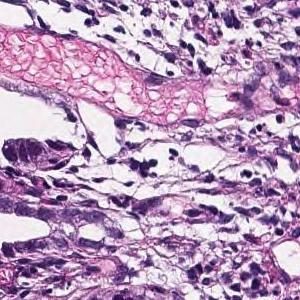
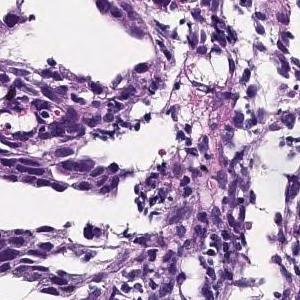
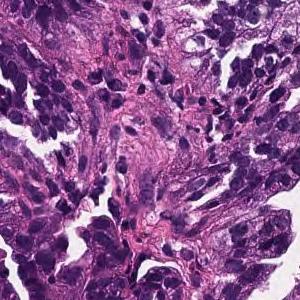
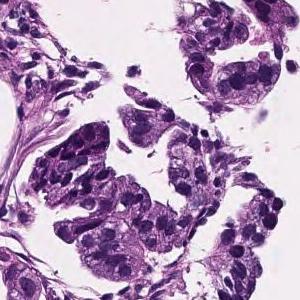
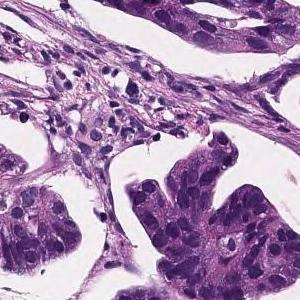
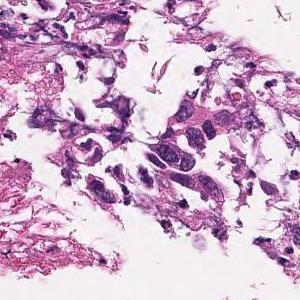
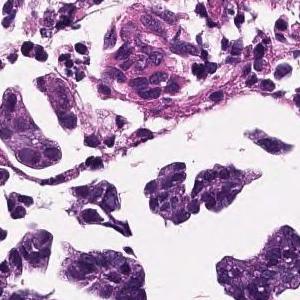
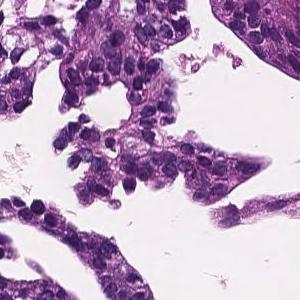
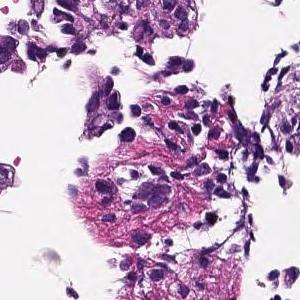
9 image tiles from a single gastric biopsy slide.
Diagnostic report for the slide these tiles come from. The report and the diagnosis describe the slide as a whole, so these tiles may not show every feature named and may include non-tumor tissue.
In the lamina propria, tumor tissue that invades by forming medium-sized to small, irregular glandular ducts is observed. moderately differentiated tubular adenocarcinoma
